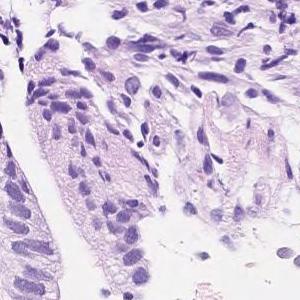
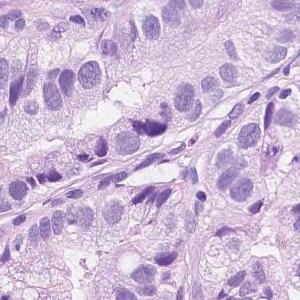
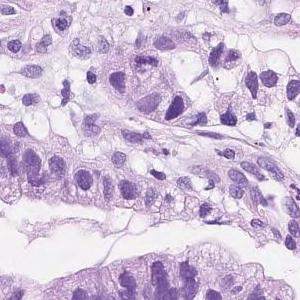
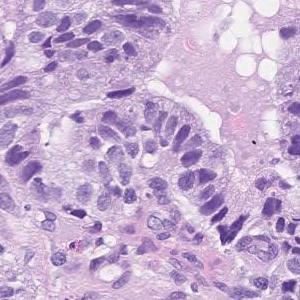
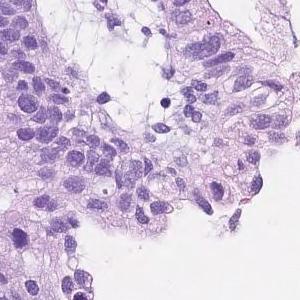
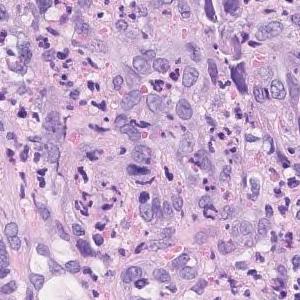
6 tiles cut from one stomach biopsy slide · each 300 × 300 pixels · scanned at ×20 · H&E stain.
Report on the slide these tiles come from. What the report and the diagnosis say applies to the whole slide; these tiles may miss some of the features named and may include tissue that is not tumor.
Atypical l cells with atypical nuclei forming solid or diffuse vesicles or small irregular atypical ducts and growing in a complex manner. moderately differentiated tubular adenocarcinoma
